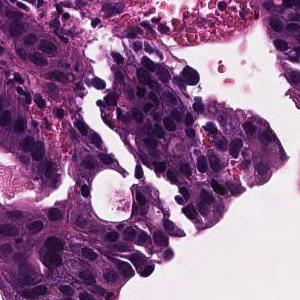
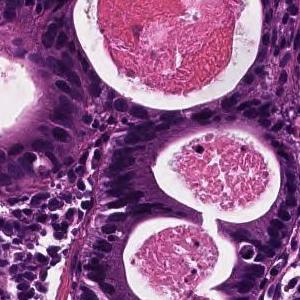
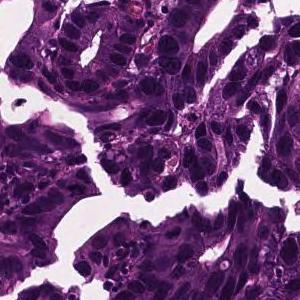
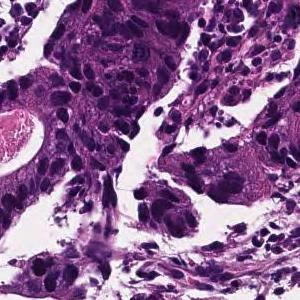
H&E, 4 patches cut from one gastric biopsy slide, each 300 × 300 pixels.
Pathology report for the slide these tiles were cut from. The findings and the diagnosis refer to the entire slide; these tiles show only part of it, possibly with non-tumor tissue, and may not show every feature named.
In the superficial epithelium, tumor tissue that invades by forming medium-sized to small, irregular ducts is observed. moderately differentiated tubular adenocarcinoma.
